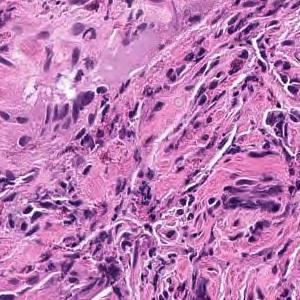
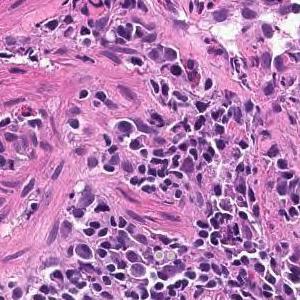
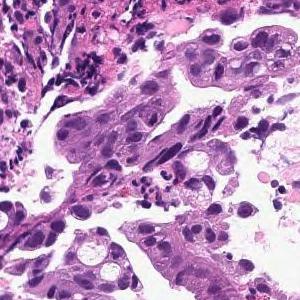
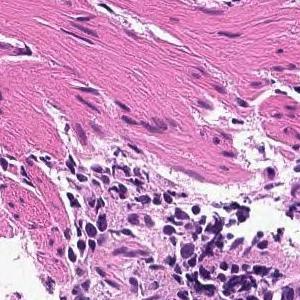
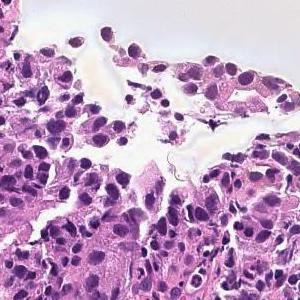
5 tiles cut from one stomach biopsy slide · each 300 × 300 pixels · scanned at ×20 · hematoxylin and eosin stain.
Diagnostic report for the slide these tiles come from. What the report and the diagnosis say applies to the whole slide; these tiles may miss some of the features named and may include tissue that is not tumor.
On the superficial epithelium, tumor tissue consisting of large irregular glandular ducts partially fused and infiltrated is observed. Well to moderately differentiated tubular adenocarcinoma (well differentiated tubular adenocarcinoma, moderately differentiated tubular adenocarcinoma)
Histological subtype: Well to moderately differentiated tubular adenocarcinoma.
